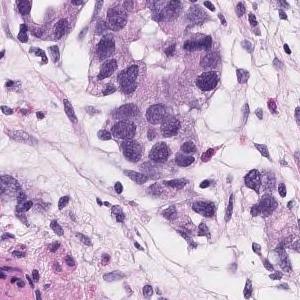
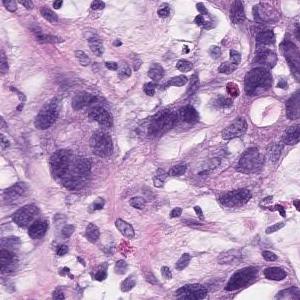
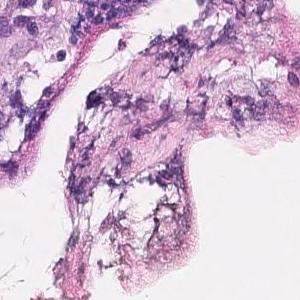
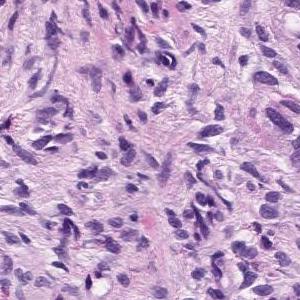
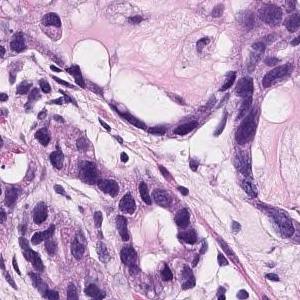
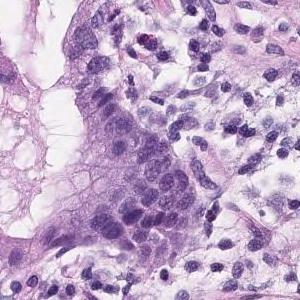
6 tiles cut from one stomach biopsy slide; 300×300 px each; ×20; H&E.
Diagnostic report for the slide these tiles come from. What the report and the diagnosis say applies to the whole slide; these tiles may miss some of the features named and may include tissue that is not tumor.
Group 5, Adenocarcinoma. Moderately to poorly differentiated adenocarcinoma
